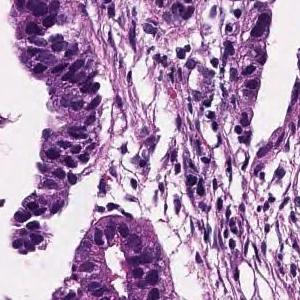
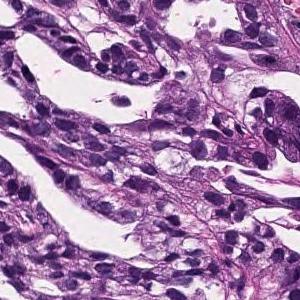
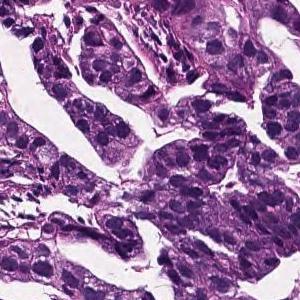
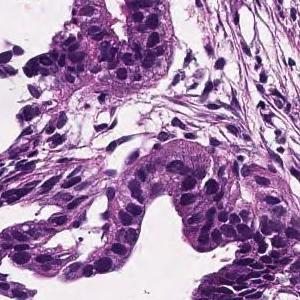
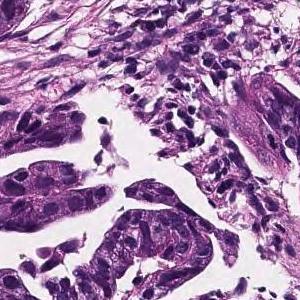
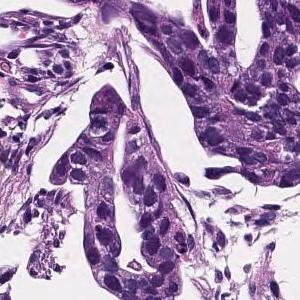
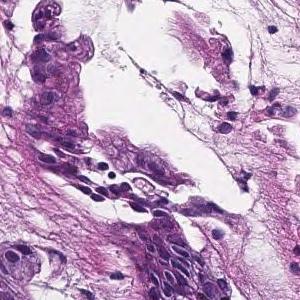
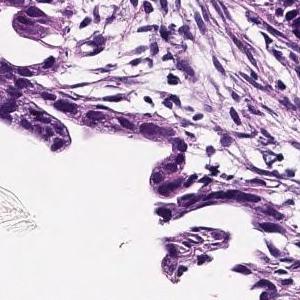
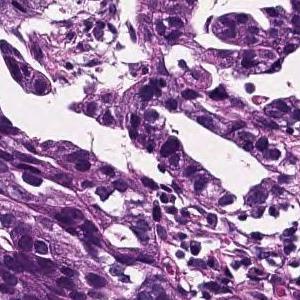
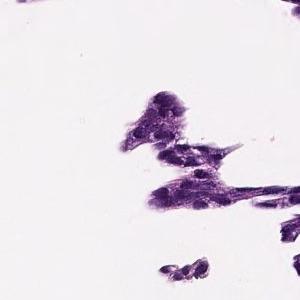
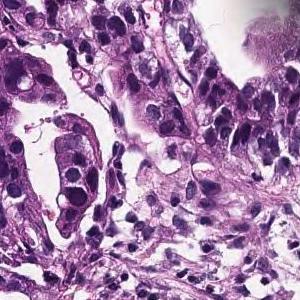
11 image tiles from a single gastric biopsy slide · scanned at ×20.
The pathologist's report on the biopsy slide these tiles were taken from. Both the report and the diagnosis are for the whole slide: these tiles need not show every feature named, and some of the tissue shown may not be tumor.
In the lamina propria, tumor tissue that invades by forming medium-sized to small, irregular glandular ducts is observed. moderately differentiated tubular adenocarcinoma
